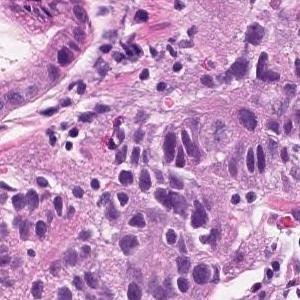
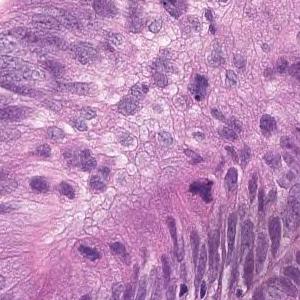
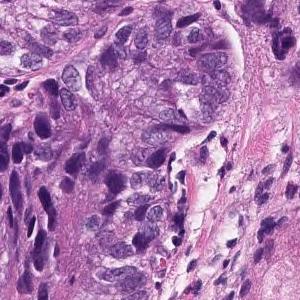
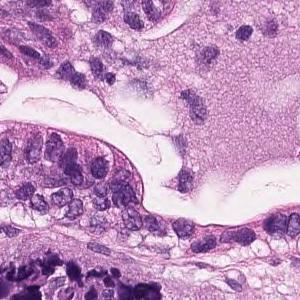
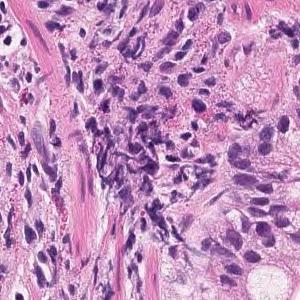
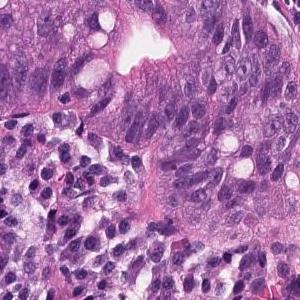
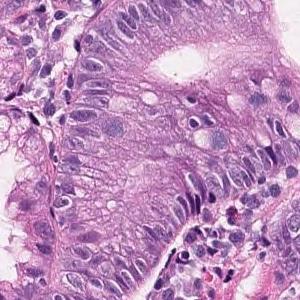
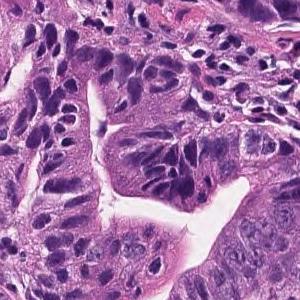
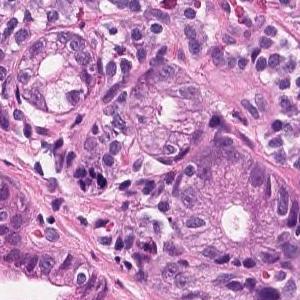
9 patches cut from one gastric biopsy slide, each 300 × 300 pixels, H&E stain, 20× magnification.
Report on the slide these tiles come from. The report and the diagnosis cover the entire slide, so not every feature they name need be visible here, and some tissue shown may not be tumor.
Tumor cells are large, highly columnar, large club-shaped nuclei, and are associated with chromatin aggregation. Papillary adenocarcinoma.
